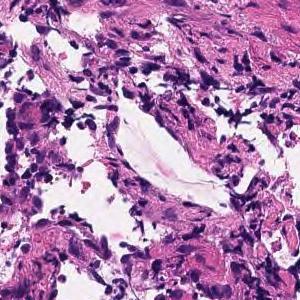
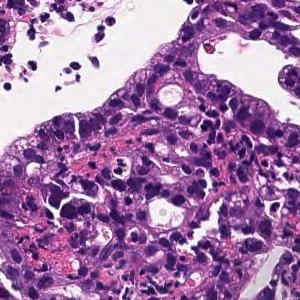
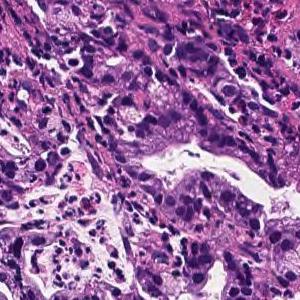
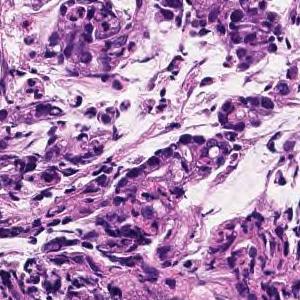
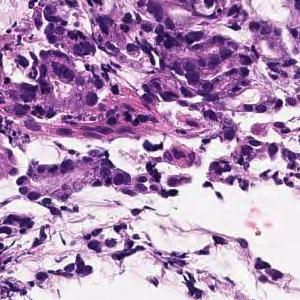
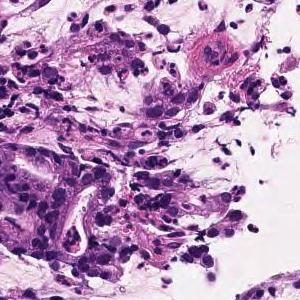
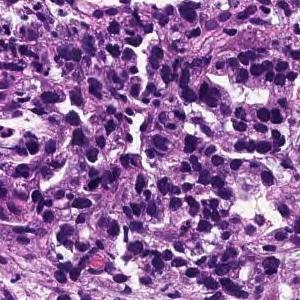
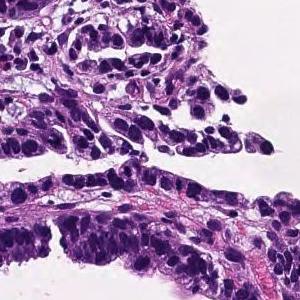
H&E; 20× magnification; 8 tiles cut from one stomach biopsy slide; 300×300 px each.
Report on the slide these tiles come from. Both the report and the diagnosis are for the whole slide: these tiles need not show every feature named, and some of the tissue shown may not be tumor.
On the superficial epithelium, tumor tissue consisting of large, irregular glandular ducts partially fused and infiltrated is observed. Well to moderately differentiated tubular adenocarcinoma (well differentiated tubular adenocarcinoma, moderately differentiated tubular adenocarcinoma)
Histologic type: Well to moderately differentiated tubular adenocarcinoma.
